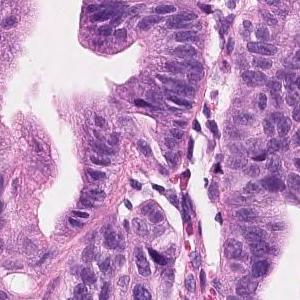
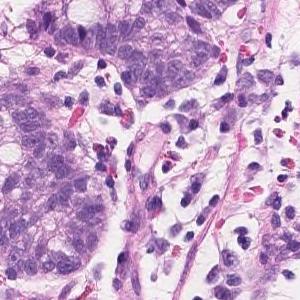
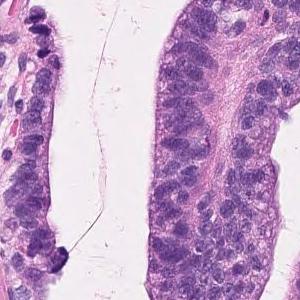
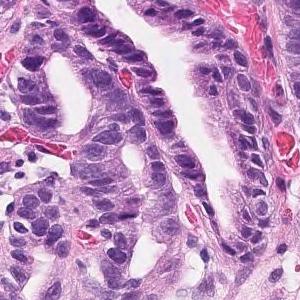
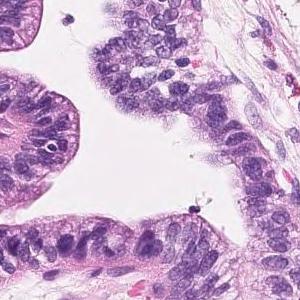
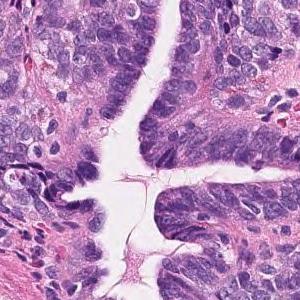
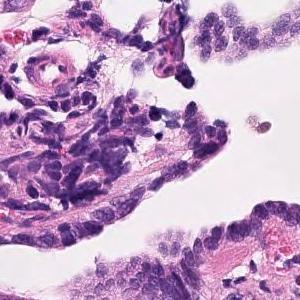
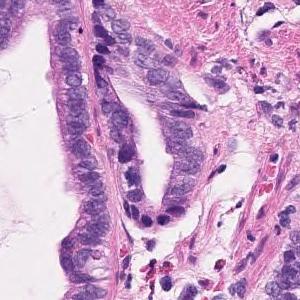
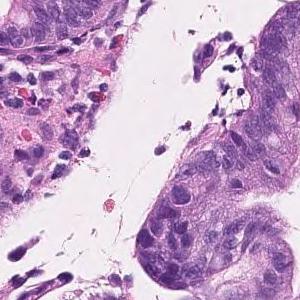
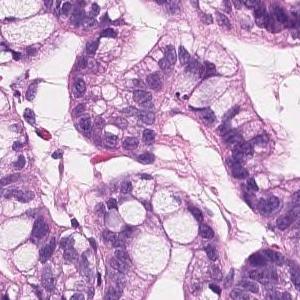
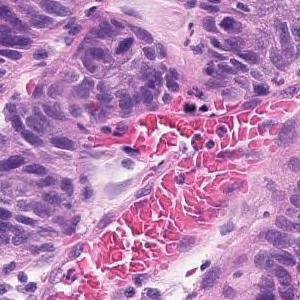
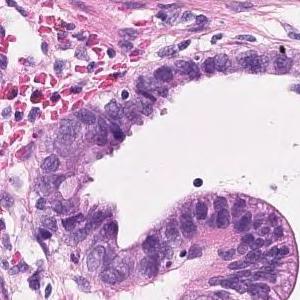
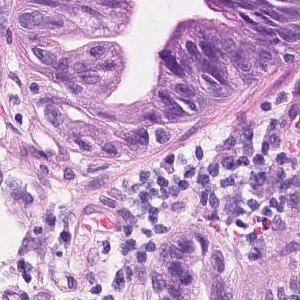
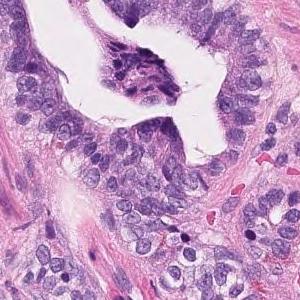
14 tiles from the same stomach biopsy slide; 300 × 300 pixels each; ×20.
Pathology report for the slide these tiles were cut from. The report and the diagnosis cover the entire slide, so not every feature they name need be visible here, and some tissue shown may not be tumor.
Tumor cells are large, highly columnar, large club-shaped nuclei, and are associated with chromatin aggregation. Papillary adenocarcinoma.
